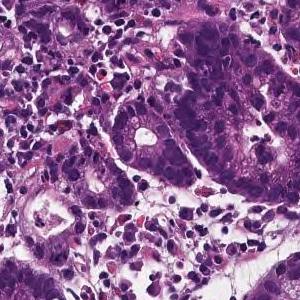
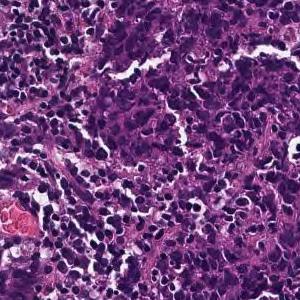
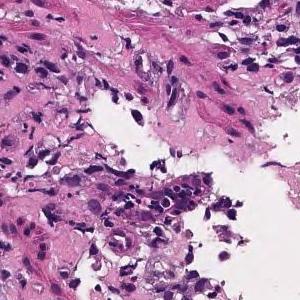
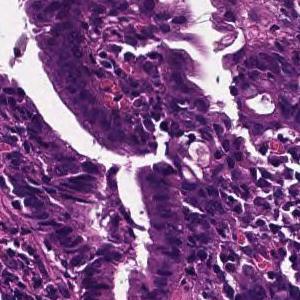
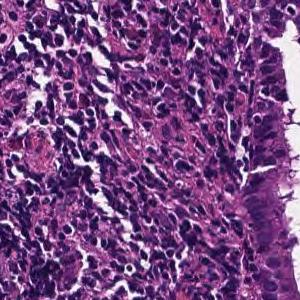
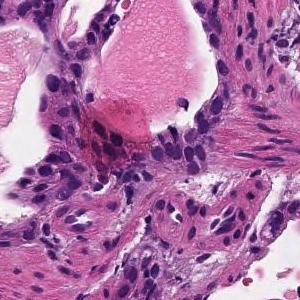
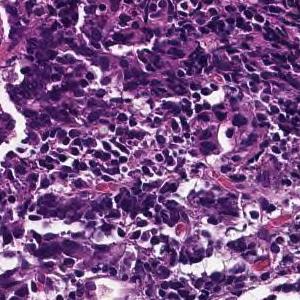
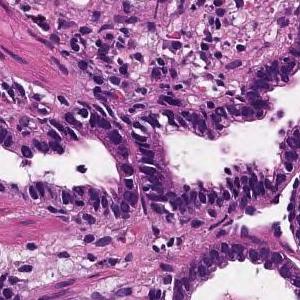
Hematoxylin and eosin stain, ×20, 8 image tiles from a single gastric biopsy slide.
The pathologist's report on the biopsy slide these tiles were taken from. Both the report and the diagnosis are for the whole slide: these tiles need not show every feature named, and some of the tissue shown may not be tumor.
Tumor tissue consisting of medium-sized, cord-like or irregular glandular infiltration is observed in the superficial epithelium. Poorly differentiated adenocarcinoma, non-solid type or moderately differentiated tubular adenocarcinoma
Classified as moderately to poorly differentiated adenocarcinoma.
"Non-solid type" is a category of the Japanese Classification of Gastric Carcinoma.
